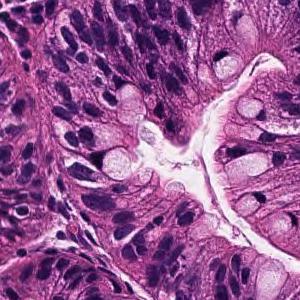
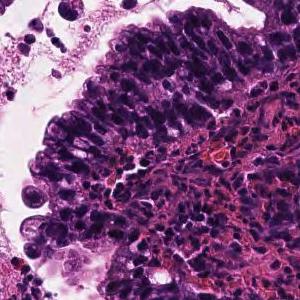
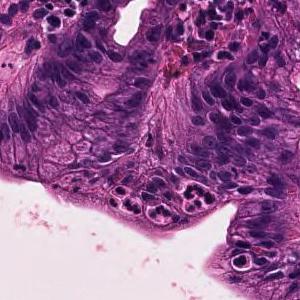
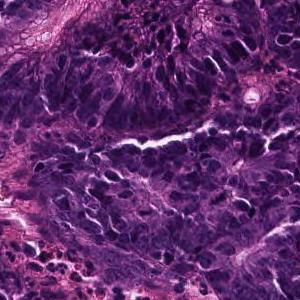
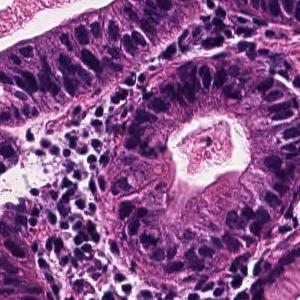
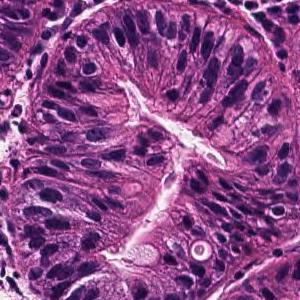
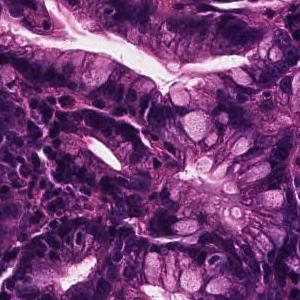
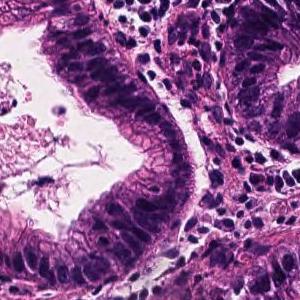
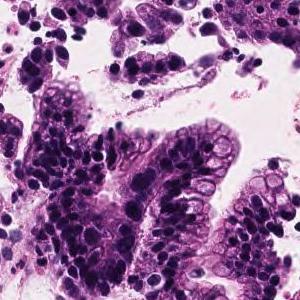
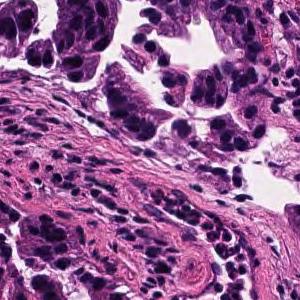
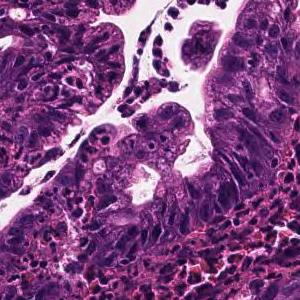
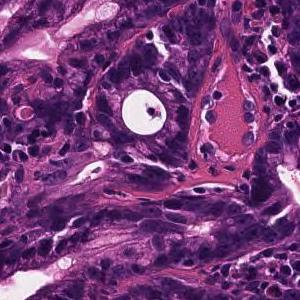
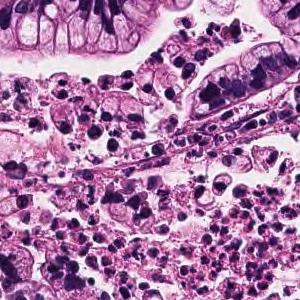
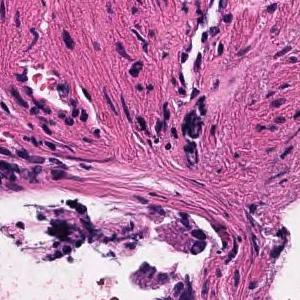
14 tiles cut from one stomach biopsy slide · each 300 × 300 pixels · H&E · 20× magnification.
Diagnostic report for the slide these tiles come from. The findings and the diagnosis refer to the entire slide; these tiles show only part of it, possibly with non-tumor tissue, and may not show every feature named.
Tumor cells are large, highly columnar, large club-shaped nuclei, and are associated with chromatin aggregation. Papillary adenocarcinoma.
